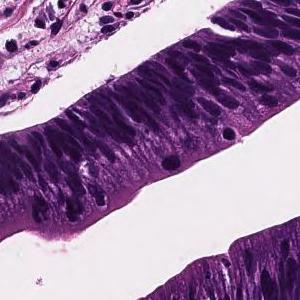
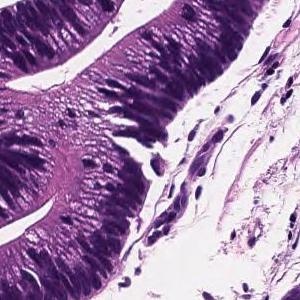
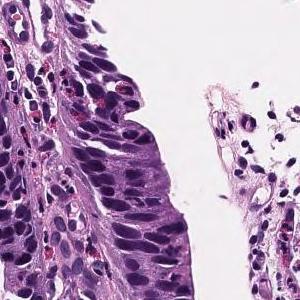
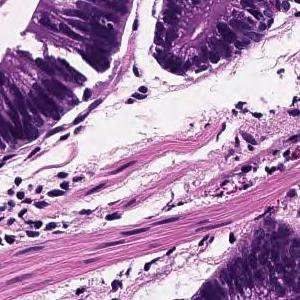
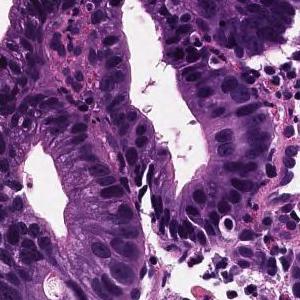
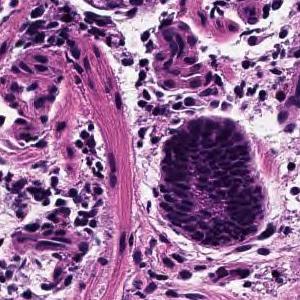
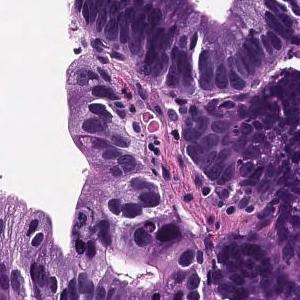
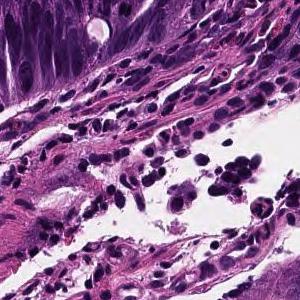
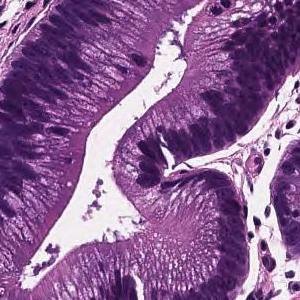
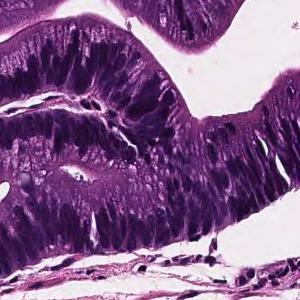
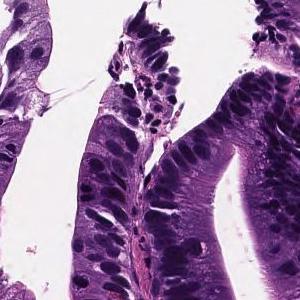
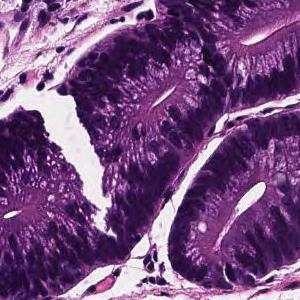
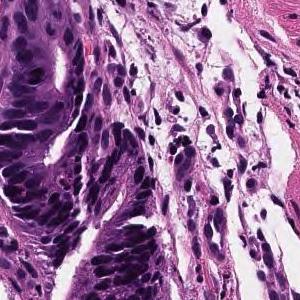
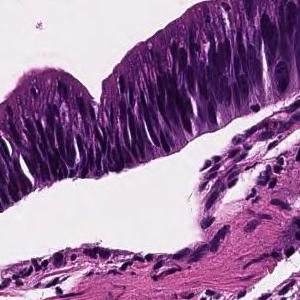
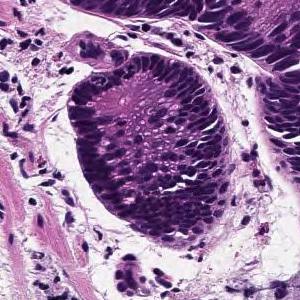
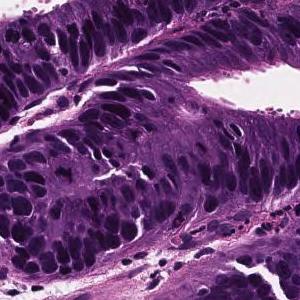
H&E · 16 image tiles from a single gastric biopsy slide.
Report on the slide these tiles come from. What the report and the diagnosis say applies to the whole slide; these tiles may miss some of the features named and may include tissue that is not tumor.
Tumor cells are large, highly columnar, large club-shaped nuclei, and are associated with chromatin aggregation. Papillary adenocarcinoma.
